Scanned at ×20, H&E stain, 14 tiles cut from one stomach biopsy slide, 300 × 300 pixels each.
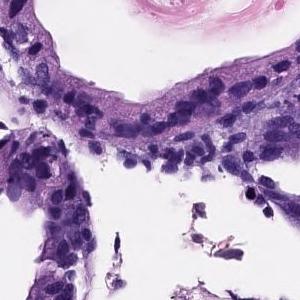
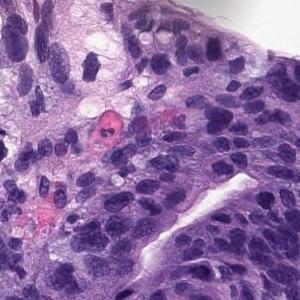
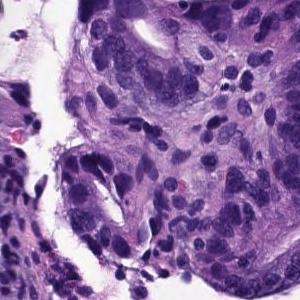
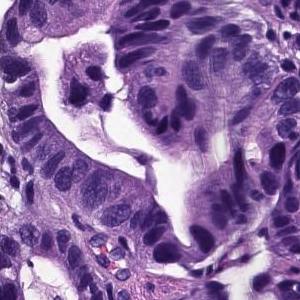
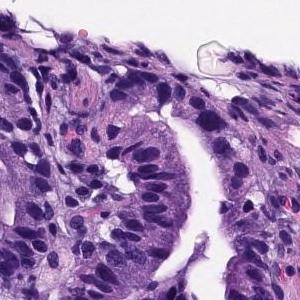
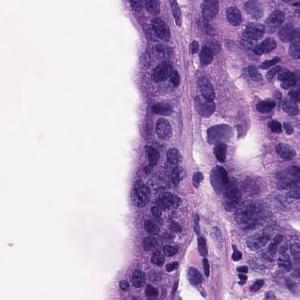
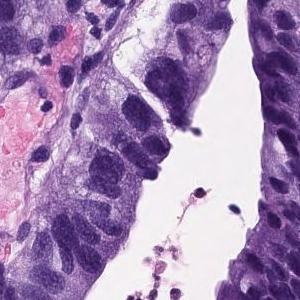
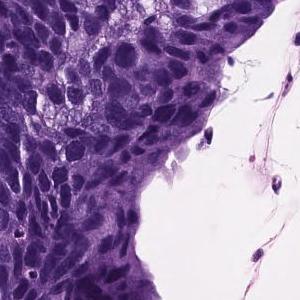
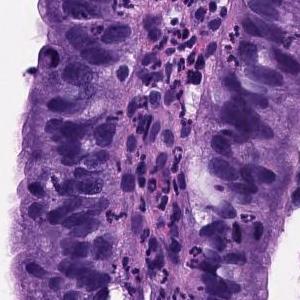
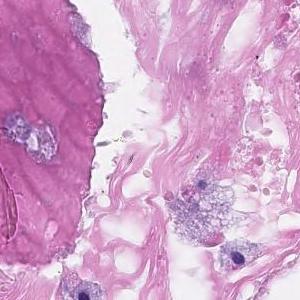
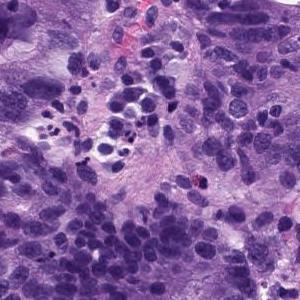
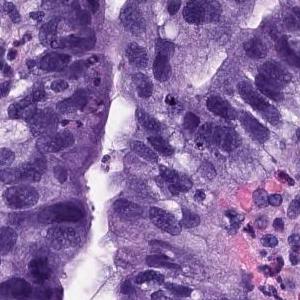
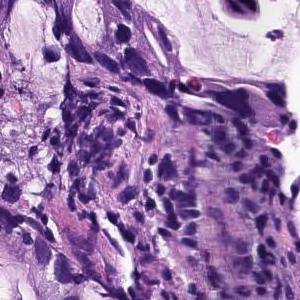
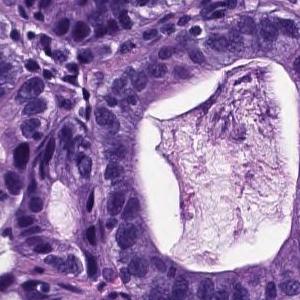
The pathologist's report on the biopsy slide these tiles were taken from. The report describes the whole slide, diagnosis included: not every finding it names need appear in these tiles, which may also show non-tumor tissue.
There are atypical l cells with atypical nuclei forming irregular glandular ducts and growing in a complex manner. Well differentiated tubular adenocarcinoma
